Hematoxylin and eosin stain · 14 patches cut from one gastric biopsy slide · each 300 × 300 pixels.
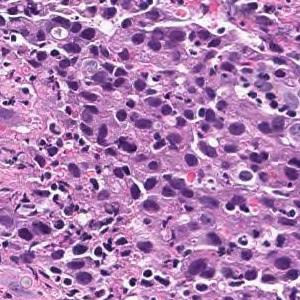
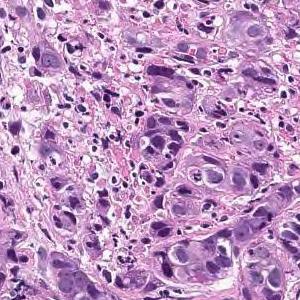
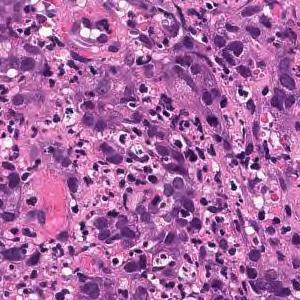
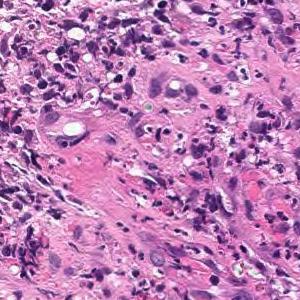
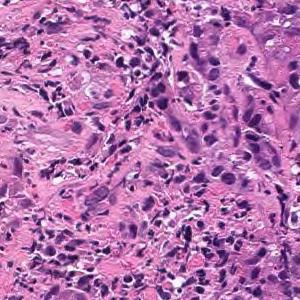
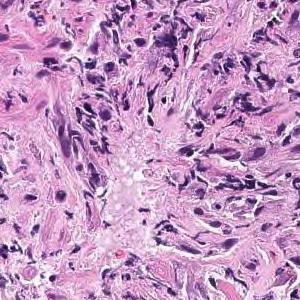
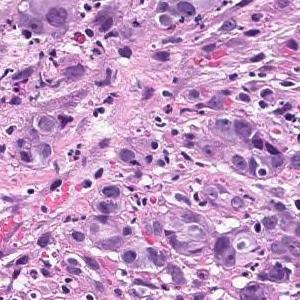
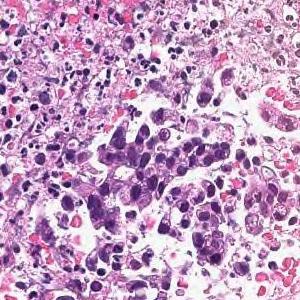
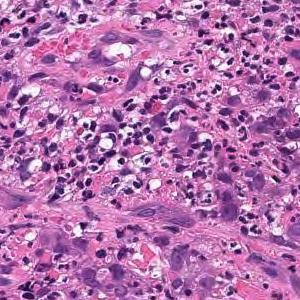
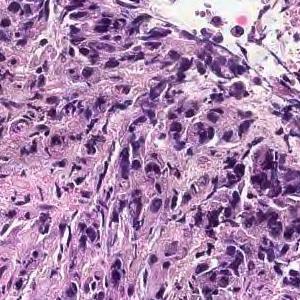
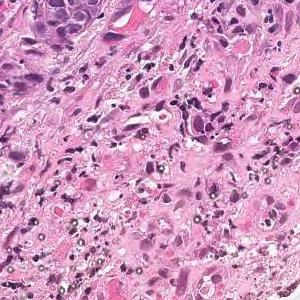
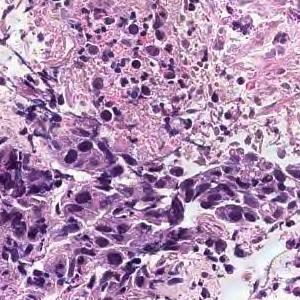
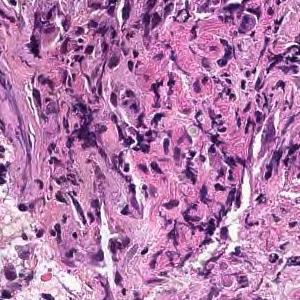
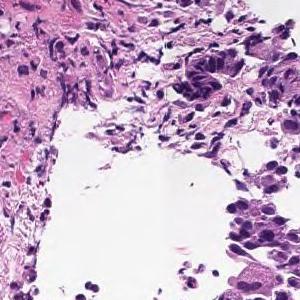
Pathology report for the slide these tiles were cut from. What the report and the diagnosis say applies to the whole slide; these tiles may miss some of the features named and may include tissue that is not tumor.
Tumor tissue consisting of cord-like or small, irregular glandular ducts fused and infiltrated is observed in the superficial epithelium. Poorly differentiated adenocarcinoma, non-solid type
The term "non-solid type" comes from the Japanese Classification of Gastric Carcinoma.
